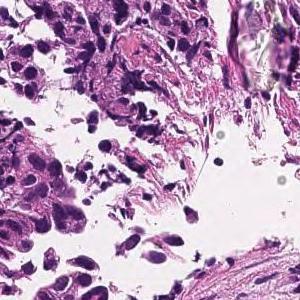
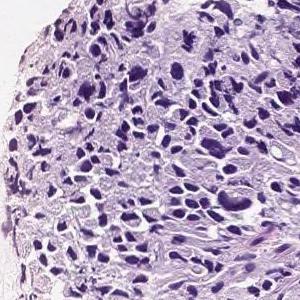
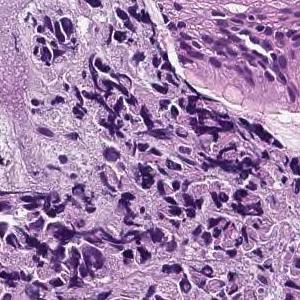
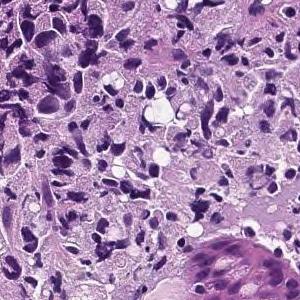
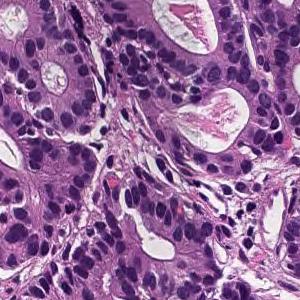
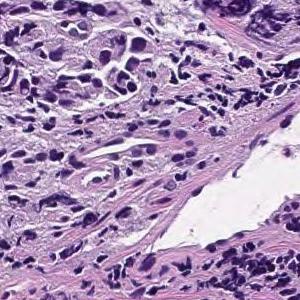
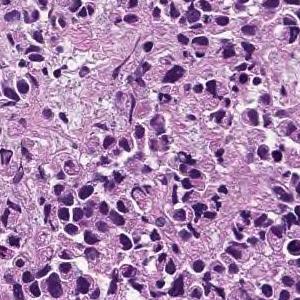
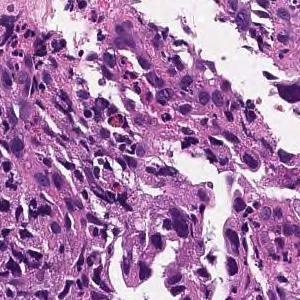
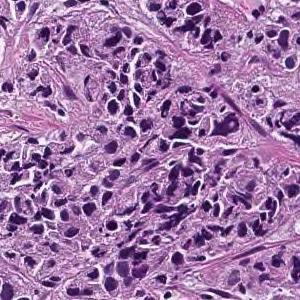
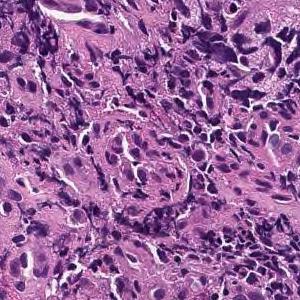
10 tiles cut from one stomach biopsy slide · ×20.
Pathology report for the slide these tiles were cut from. The report and the diagnosis describe the slide as a whole, so these tiles may not show every feature named and may include non-tumor tissue.
The lamina propria shows small cord-like tumor tissue that infiltrates with fibrosis and marked chronic inflammatory cell infiltration. Poorly differentiated adenocarcinoma, non-solid type
"Non-solid type" is a category of the Japanese Classification of Gastric Carcinoma.
